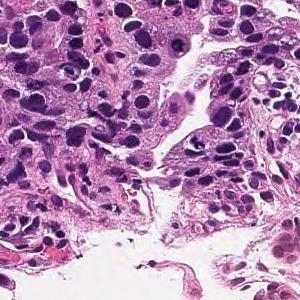
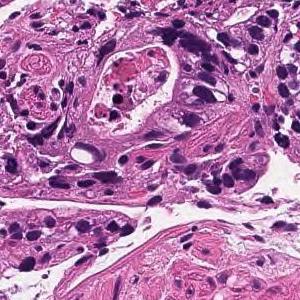
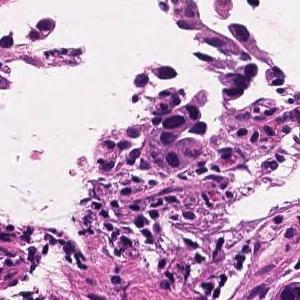
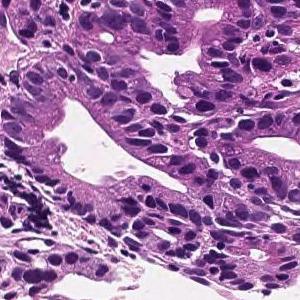
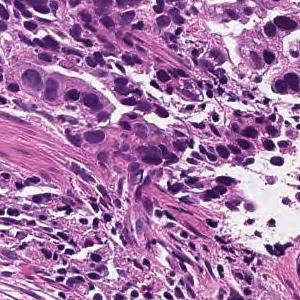
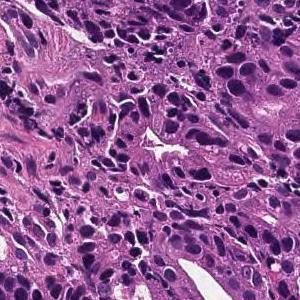
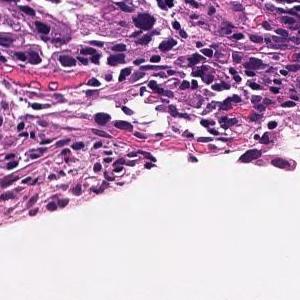
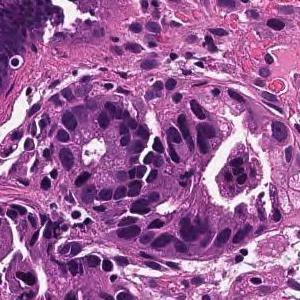
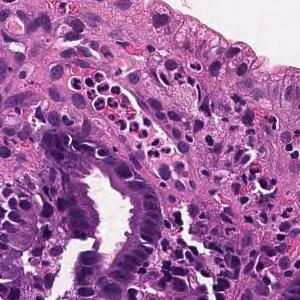
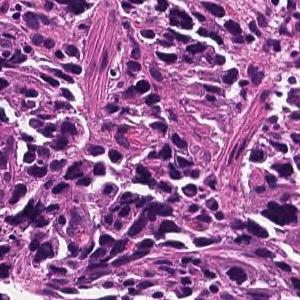
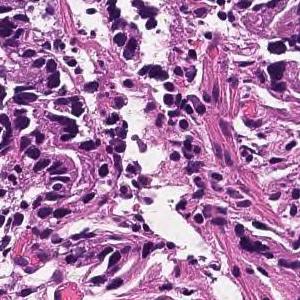
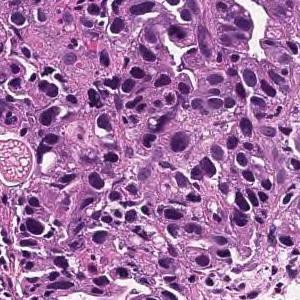
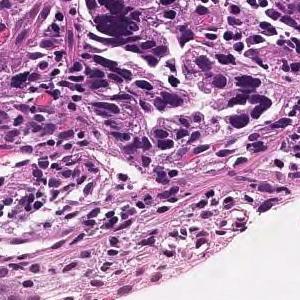
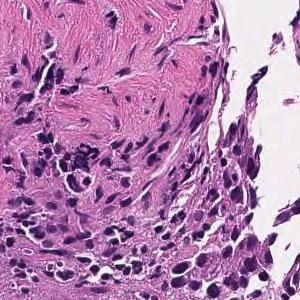
14 tiles from the same stomach biopsy slide · H&E stain · 20× magnification.
Pathology report for the slide these tiles were cut from. The findings and the diagnosis refer to the entire slide; these tiles show only part of it, possibly with non-tumor tissue, and may not show every feature named.
On the superficial epithelium, tumor tissue is found in which medium-sized irregular gland ducts fuse with each other and infiltrate. moderately differentiated tubular adenocarcinoma or Poorly differentiated adenocarcinoma, non-solid type
Classified as moderately to poorly differentiated adenocarcinoma.
"Non-solid type" is a category of the Japanese Classification of Gastric Carcinoma.
